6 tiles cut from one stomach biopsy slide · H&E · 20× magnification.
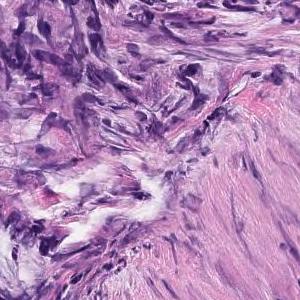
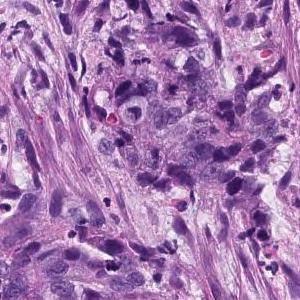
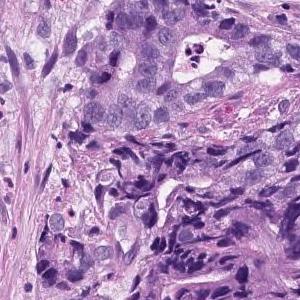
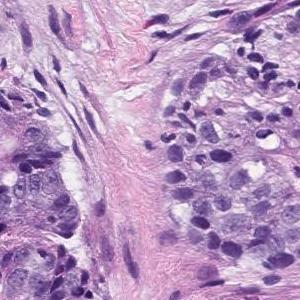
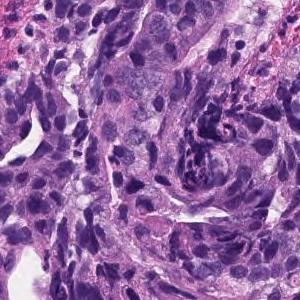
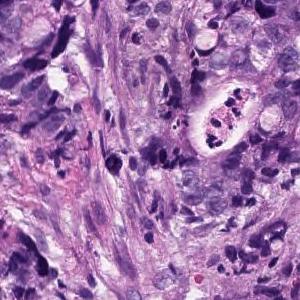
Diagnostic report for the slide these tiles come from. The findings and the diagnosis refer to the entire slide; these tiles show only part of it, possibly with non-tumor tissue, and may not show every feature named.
Medium to small, irregular glandular ducts are formed in the superficial epithelium, and in some cases, the glandular ducts are fused to show solid alveolar lesions and infiltrating tumor tissue is observed. Moderately to poorly differentiated adenocarcinoma.
